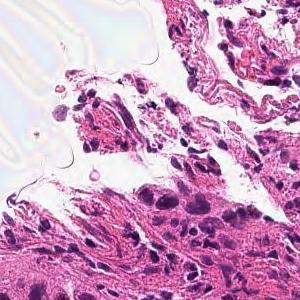
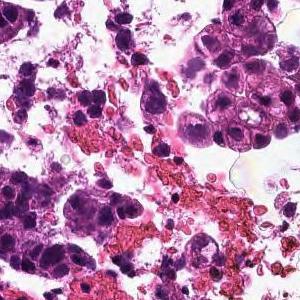
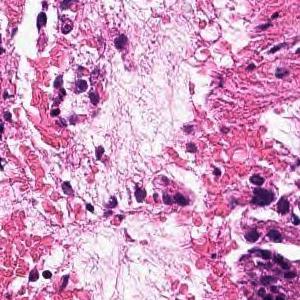
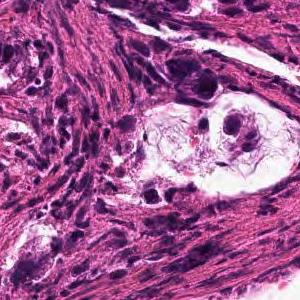
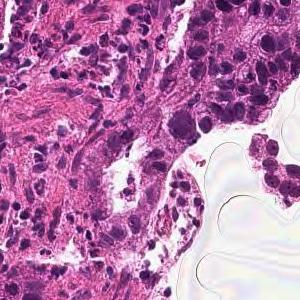
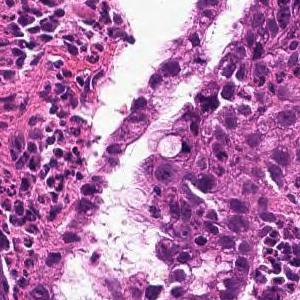
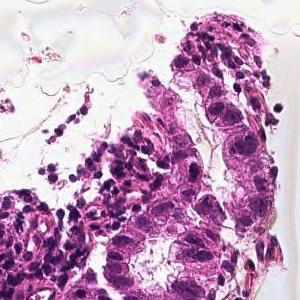
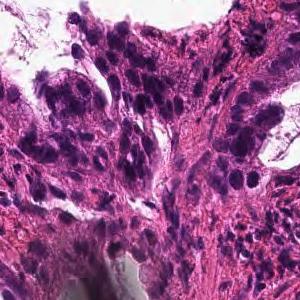
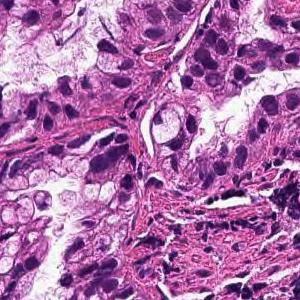
9 patches cut from one gastric biopsy slide, 300×300 px each, 20× magnification, H&E.
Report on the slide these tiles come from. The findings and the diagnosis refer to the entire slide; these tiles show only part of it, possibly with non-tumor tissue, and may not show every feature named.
From the superficial epithelium to the muscularis mucosae, tumor tissue infiltrating by forming medium-sized irregular gland ducts is observed. Well differentiated tubular adenocarcinoma
